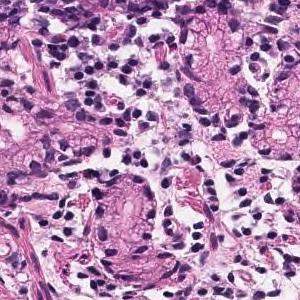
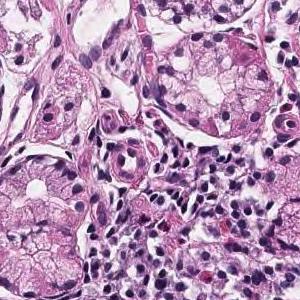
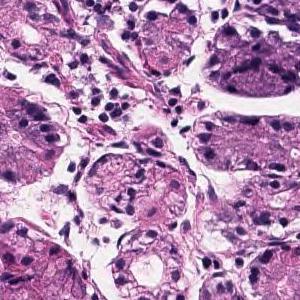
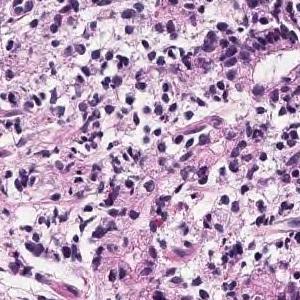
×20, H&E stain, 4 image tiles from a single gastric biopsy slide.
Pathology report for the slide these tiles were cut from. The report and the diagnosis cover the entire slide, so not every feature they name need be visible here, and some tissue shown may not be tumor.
Tumor tissue that grows and grows is observed, showing a medium-sized round or irregular duct. moderately differentiated tubular adenocarcinoma
